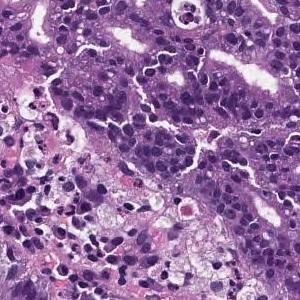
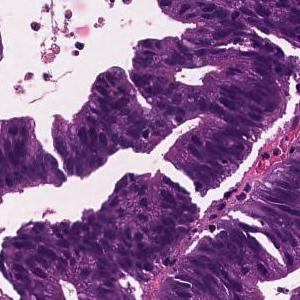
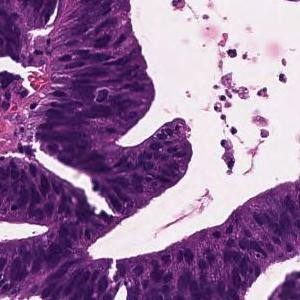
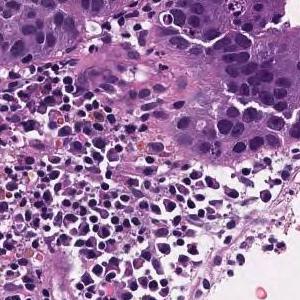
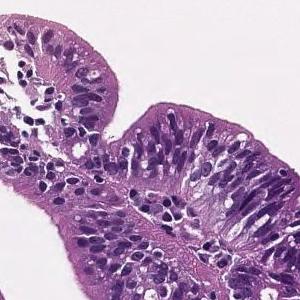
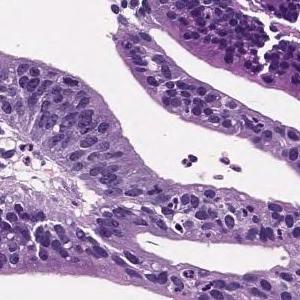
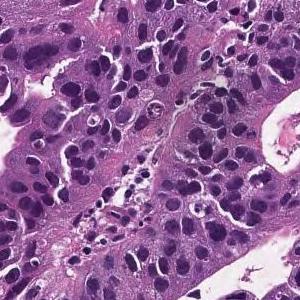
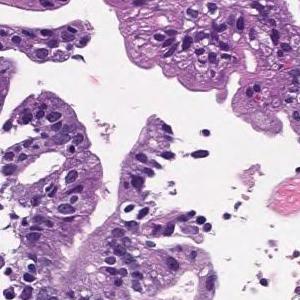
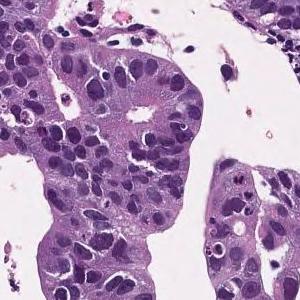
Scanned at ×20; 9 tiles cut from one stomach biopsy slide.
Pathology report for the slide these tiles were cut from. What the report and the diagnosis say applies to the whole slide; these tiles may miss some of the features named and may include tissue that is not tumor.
Tumor cells are large, highly columnar, large club-shaped nuclei, and are associated with chromatin aggregation. Papillary adenocarcinoma.
